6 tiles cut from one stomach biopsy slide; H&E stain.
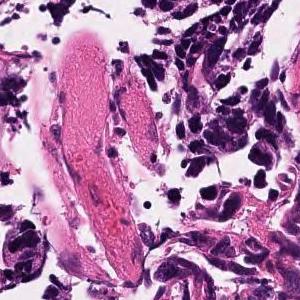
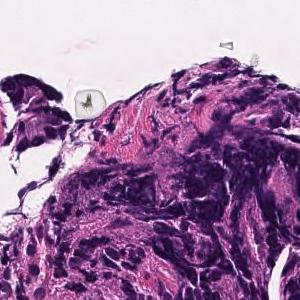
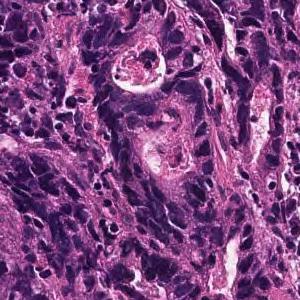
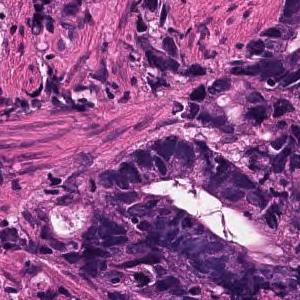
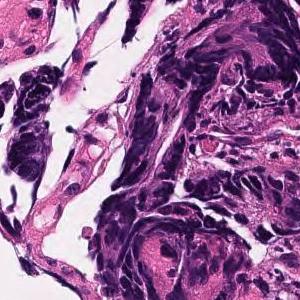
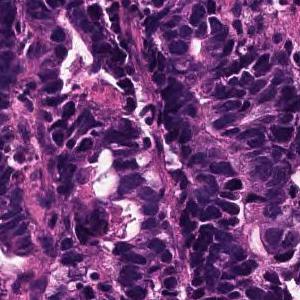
Pathology report for the slide these tiles were cut from. The report describes the whole slide, diagnosis included: not every finding it names need appear in these tiles, which may also show non-tumor tissue.
Large and small irregular small glandular ducts forming and infiltrating. moderately differentiated tubular adenocarcinoma
